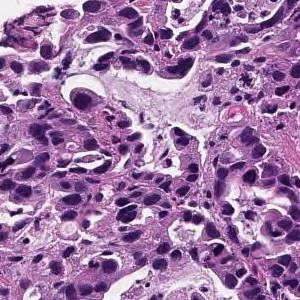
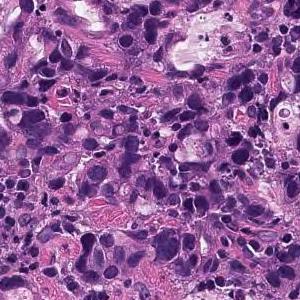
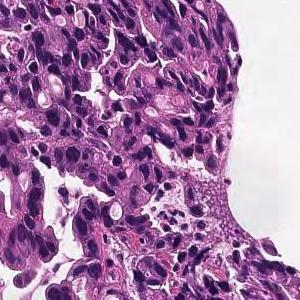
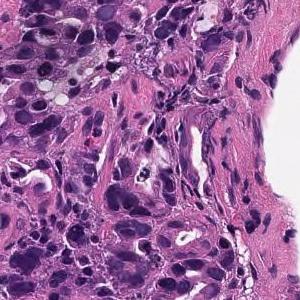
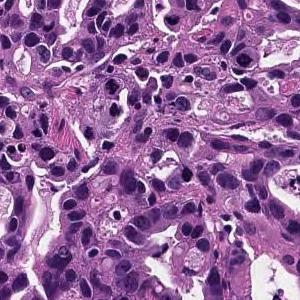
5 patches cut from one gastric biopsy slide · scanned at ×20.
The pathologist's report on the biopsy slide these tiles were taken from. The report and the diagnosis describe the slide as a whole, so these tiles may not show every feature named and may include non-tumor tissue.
In the superficial epithelium, tumor tissue that invades by forming medium-sized to small, irregular ducts is observed. moderately differentiated tubular adenocarcinoma.
